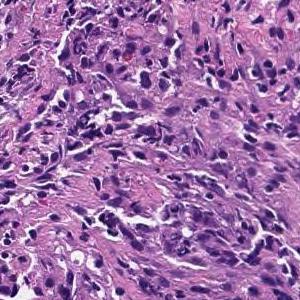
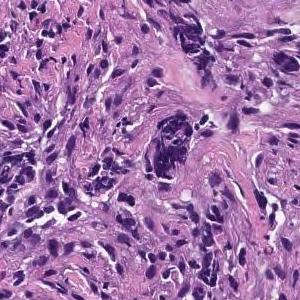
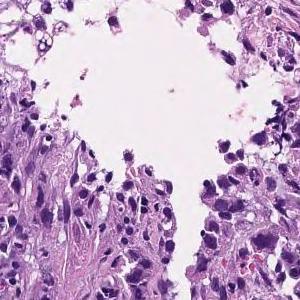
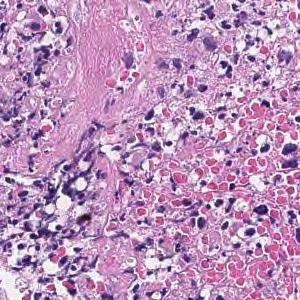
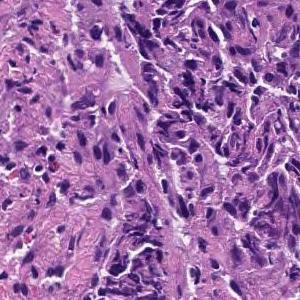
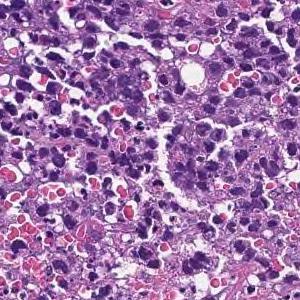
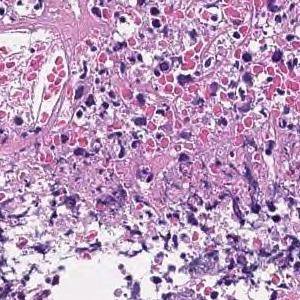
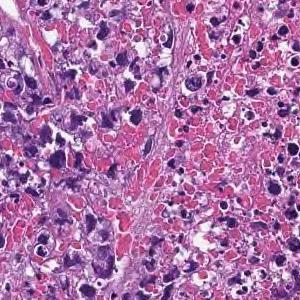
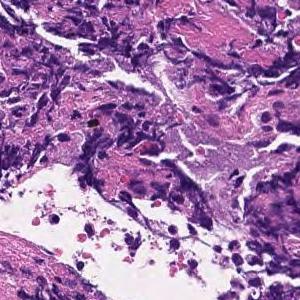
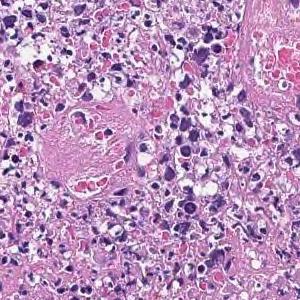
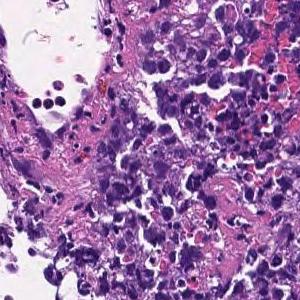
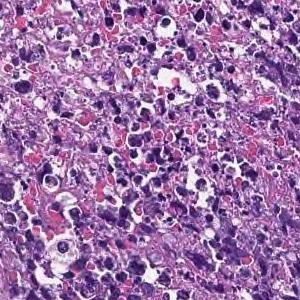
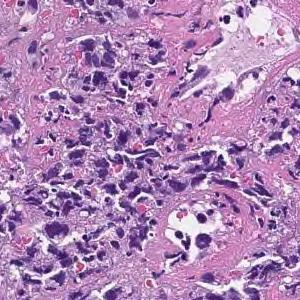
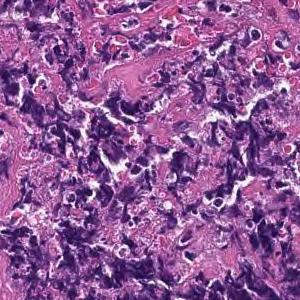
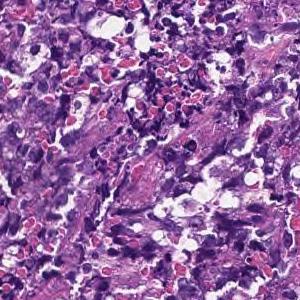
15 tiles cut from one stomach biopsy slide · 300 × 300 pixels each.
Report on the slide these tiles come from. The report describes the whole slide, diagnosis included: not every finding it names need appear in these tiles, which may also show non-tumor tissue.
Most are composed of coagulative necrotic tissue, but some show a large sheet-like shape, and some show tumor tissue infiltrating with a small cord-like structure. Poorly differentiated adenocarcinoma, solid-type
Subtype: Poorly differentiated adenocarcinoma, solid type (Japanese Classification of Gastric Carcinoma). The WHO 2019 equivalent is tubular adenocarcinoma, poorly differentiated.
